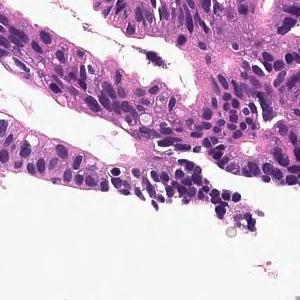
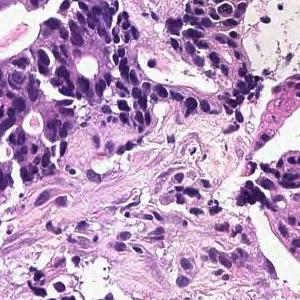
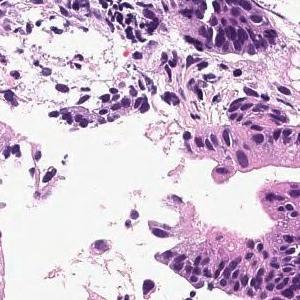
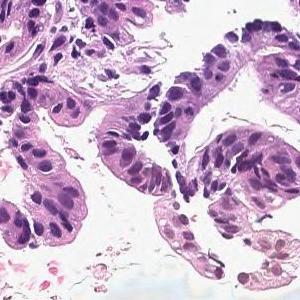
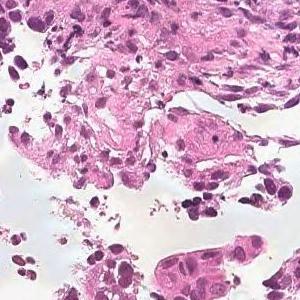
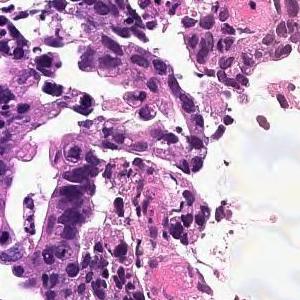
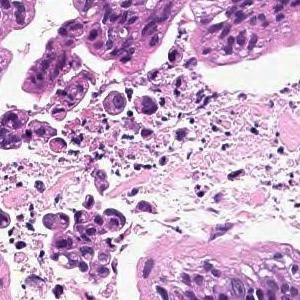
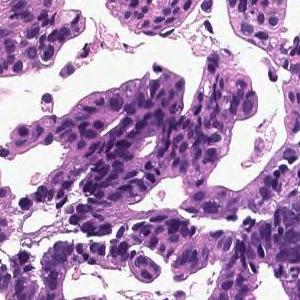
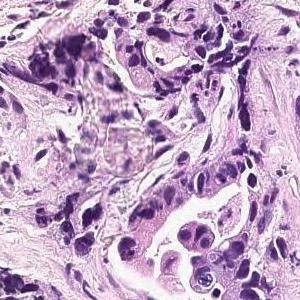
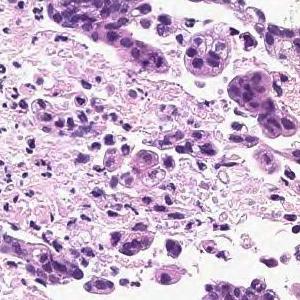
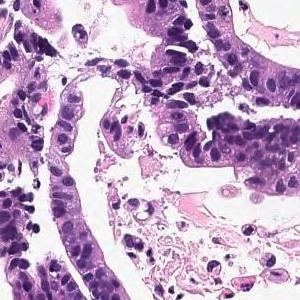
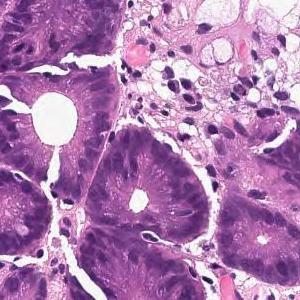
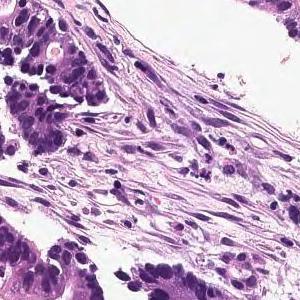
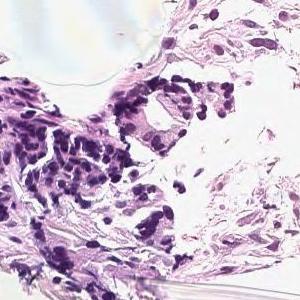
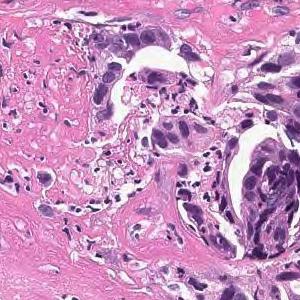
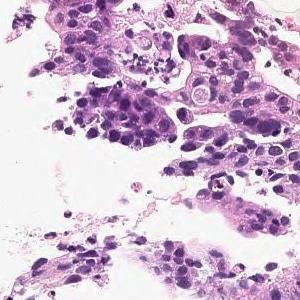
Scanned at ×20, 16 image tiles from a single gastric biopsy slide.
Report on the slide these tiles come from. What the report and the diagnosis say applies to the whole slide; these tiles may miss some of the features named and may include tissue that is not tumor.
In the superficial epithelium, tumor tissue that invades by forming medium-sized to small, irregular ducts is observed. moderately differentiated tubular adenocarcinoma.
